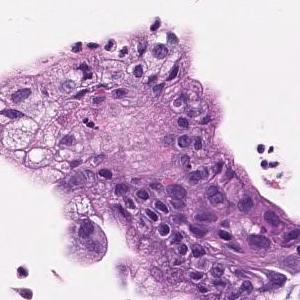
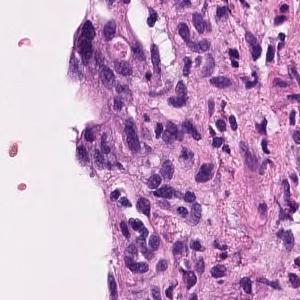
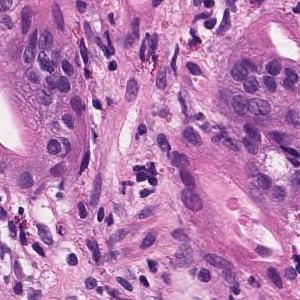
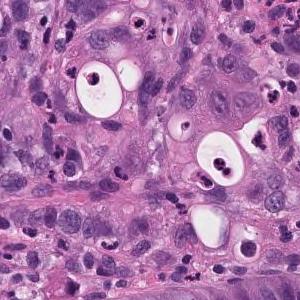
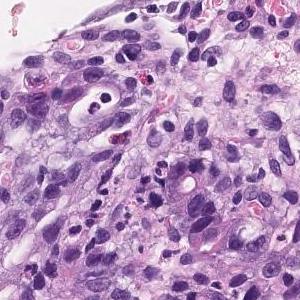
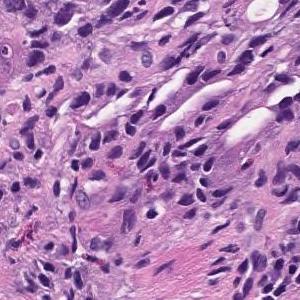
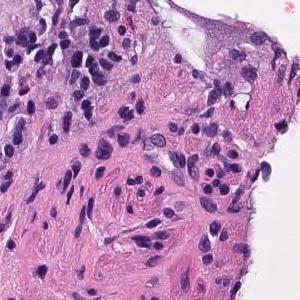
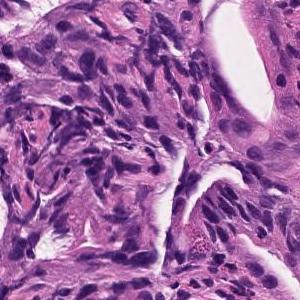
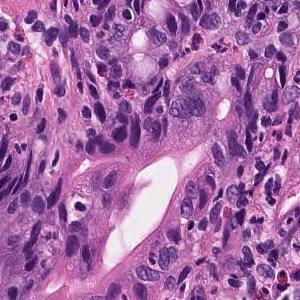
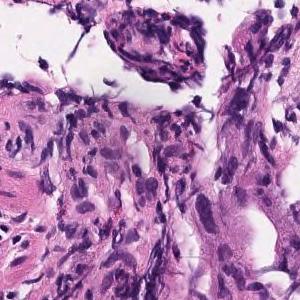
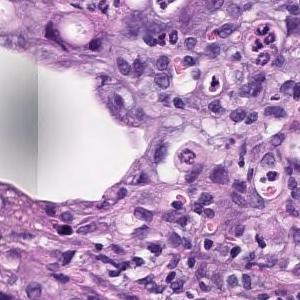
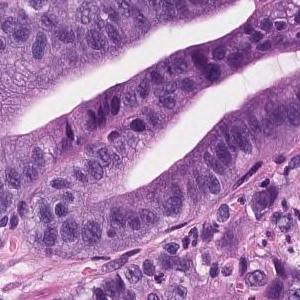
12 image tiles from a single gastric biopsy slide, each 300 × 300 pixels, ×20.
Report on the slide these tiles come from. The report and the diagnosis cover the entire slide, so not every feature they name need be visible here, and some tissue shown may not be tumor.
moderately differentiated tubular adenocarcinoma, Poorly differentiated adenocarcinoma
The dataset labels this slide poorly differentiated adenocarcinoma, solid type (Japanese Classification of Gastric Carcinoma). The WHO 2019 equivalent is tubular adenocarcinoma, poorly differentiated.
